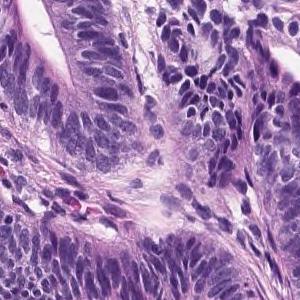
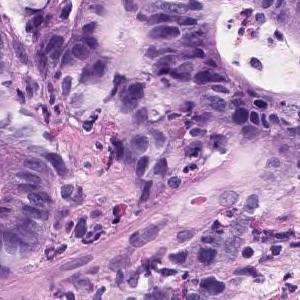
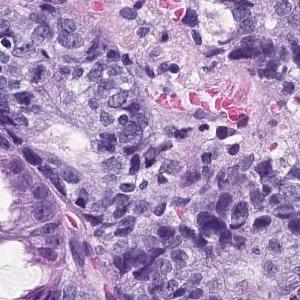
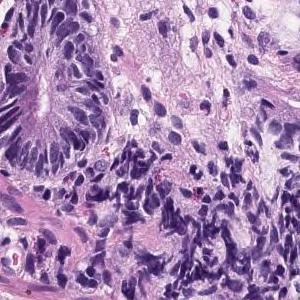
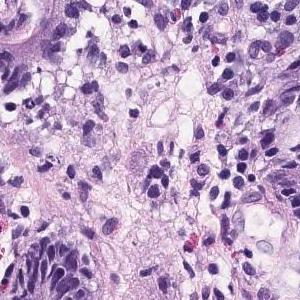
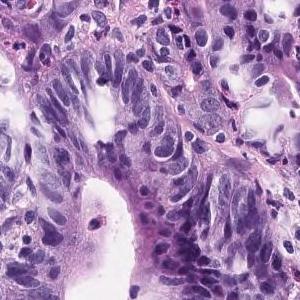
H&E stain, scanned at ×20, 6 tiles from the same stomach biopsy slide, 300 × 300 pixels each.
Diagnostic report for the slide these tiles come from. Both the report and the diagnosis are for the whole slide: these tiles need not show every feature named, and some of the tissue shown may not be tumor.
On the superficial epithelium, tumor tissue consisting of medium-sized to large-sized, round or irregular glandular duct growth images is observed. Well differentiated adenocarcinoma.
Classified as well differentiated tubular adenocarcinoma.
